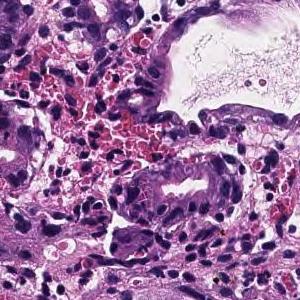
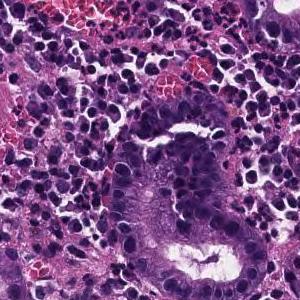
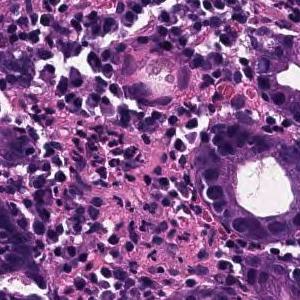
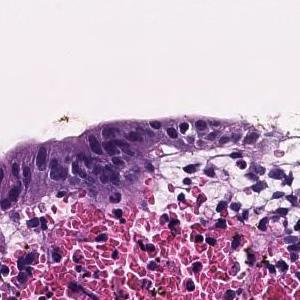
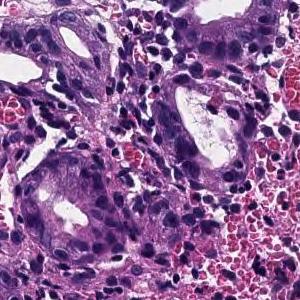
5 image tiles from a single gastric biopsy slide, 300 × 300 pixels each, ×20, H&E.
Pathology report for the slide these tiles were cut from. The report and the diagnosis describe the slide as a whole, so these tiles may not show every feature named and may include non-tumor tissue.
In the superficial epithelium, tumor tissue that invades by forming medium-sized to small, irregular ducts is observed. moderately differentiated tubular adenocarcinoma.
